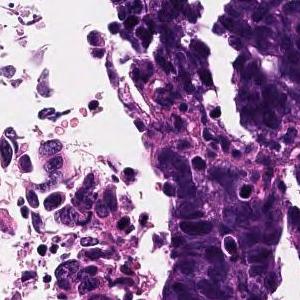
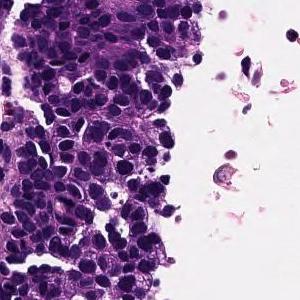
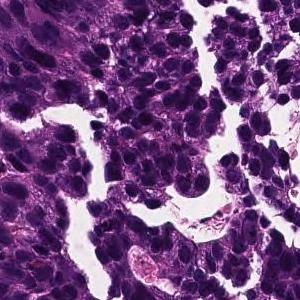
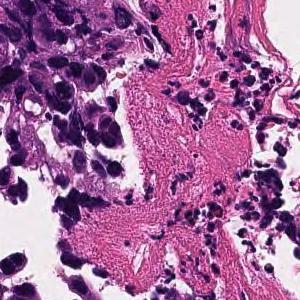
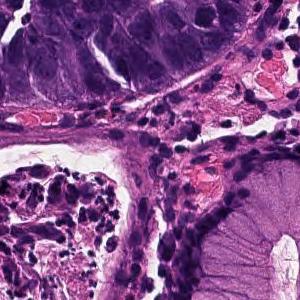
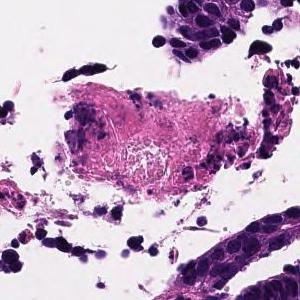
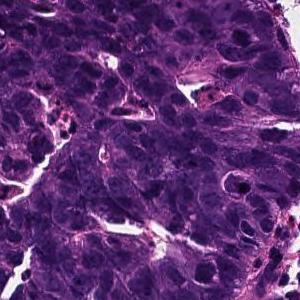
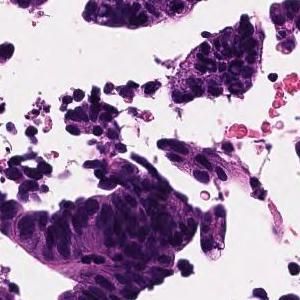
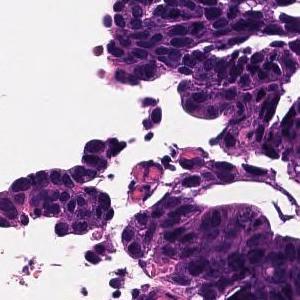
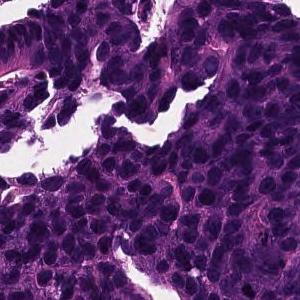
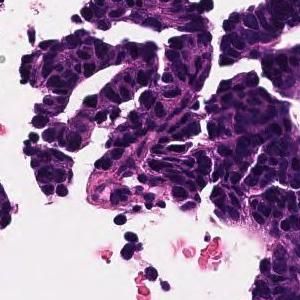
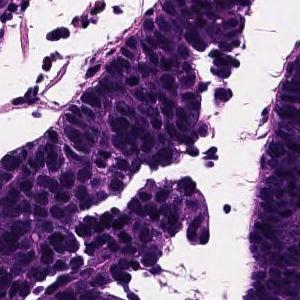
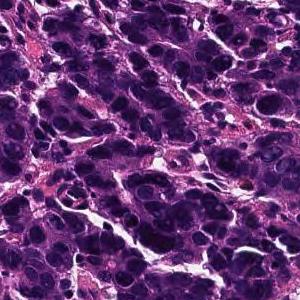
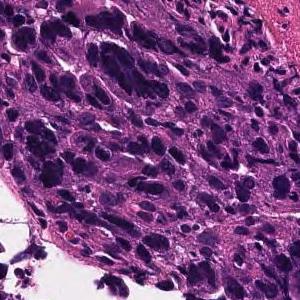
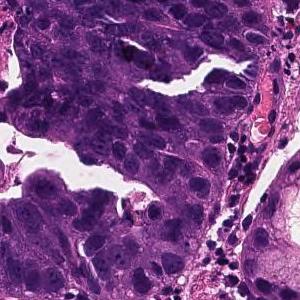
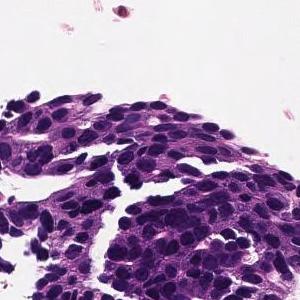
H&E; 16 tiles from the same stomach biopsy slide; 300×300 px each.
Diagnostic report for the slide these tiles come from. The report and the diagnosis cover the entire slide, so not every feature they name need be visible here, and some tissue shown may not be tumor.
In the superficial epithelium, tumor tissue that invades by forming medium-sized to small, irregular ducts is observed. moderately differentiated tubular adenocarcinoma.
